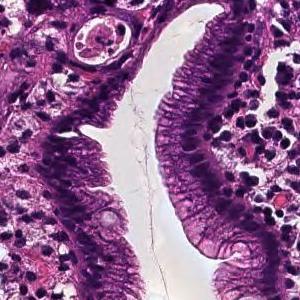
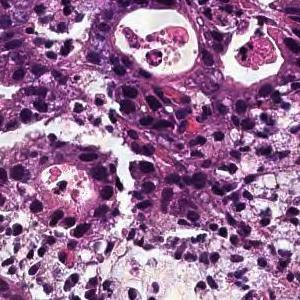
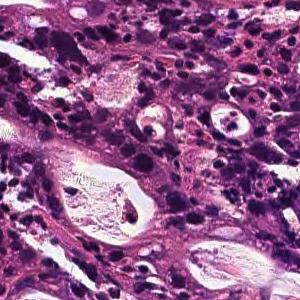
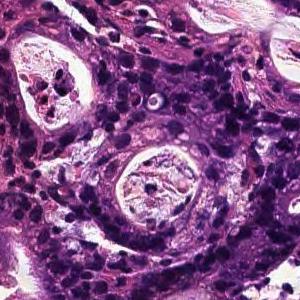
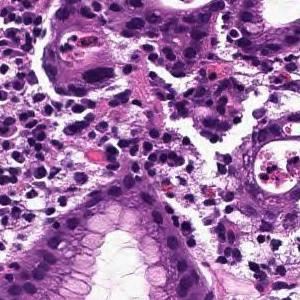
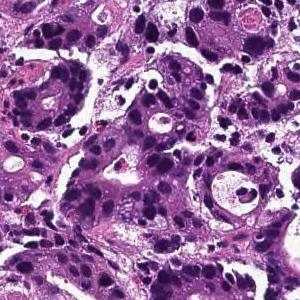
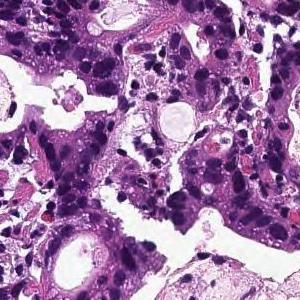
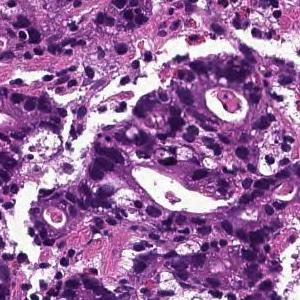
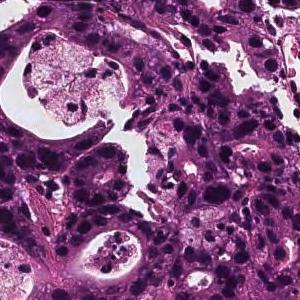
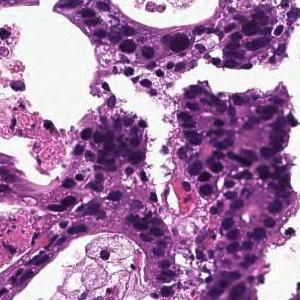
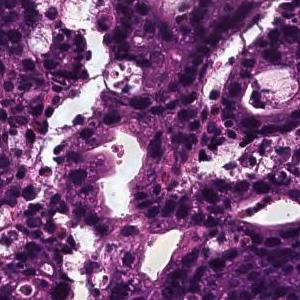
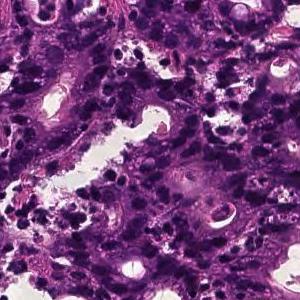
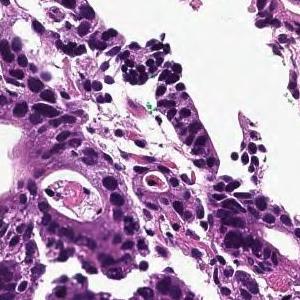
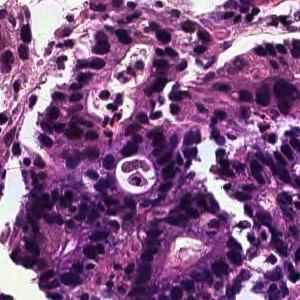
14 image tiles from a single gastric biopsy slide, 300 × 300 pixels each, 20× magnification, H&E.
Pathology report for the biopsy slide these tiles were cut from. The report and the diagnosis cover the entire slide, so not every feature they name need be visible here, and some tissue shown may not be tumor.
In the superficial epithelium, tumor tissue that invades by forming medium-sized to small, irregular ducts is observed. moderately differentiated tubular adenocarcinoma.
